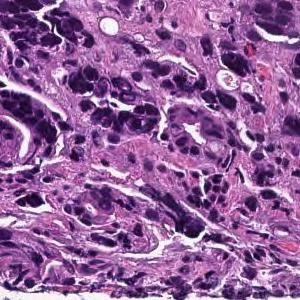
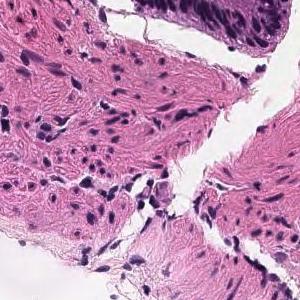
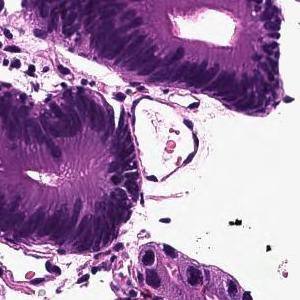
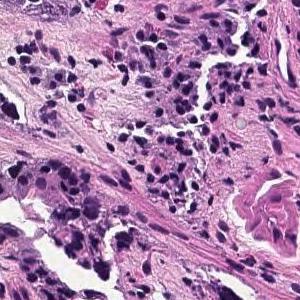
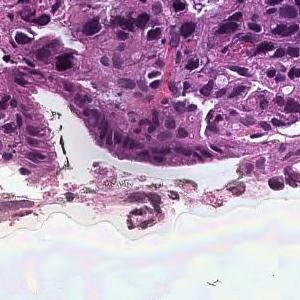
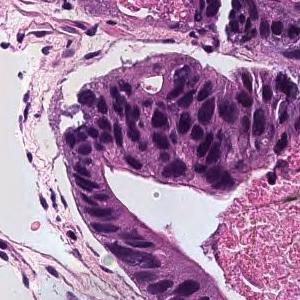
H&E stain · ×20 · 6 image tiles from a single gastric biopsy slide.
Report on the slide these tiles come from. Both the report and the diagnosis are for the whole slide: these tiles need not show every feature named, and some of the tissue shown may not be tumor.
In the superficial epithelium, tumor tissue that invades by forming medium-sized to small, irregular ducts is observed. moderately differentiated tubular adenocarcinoma.
